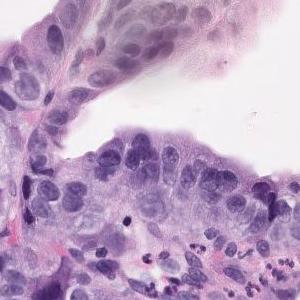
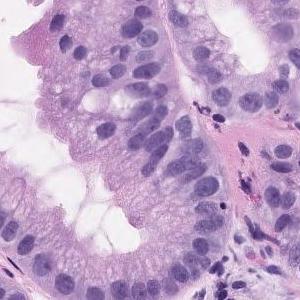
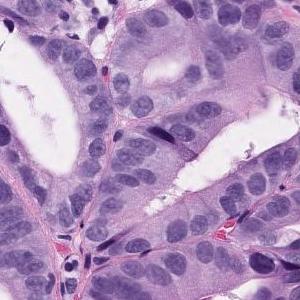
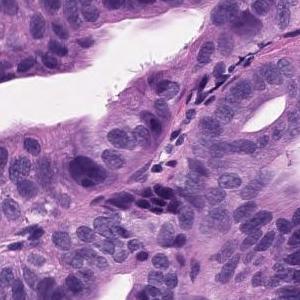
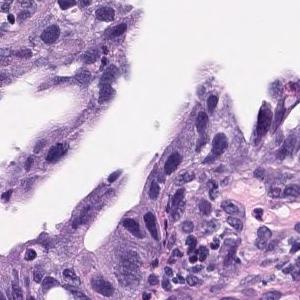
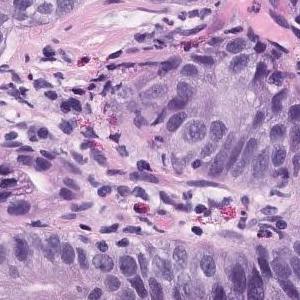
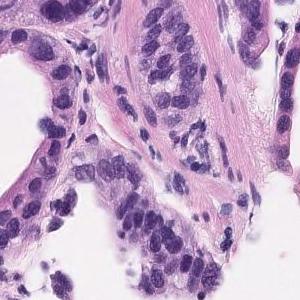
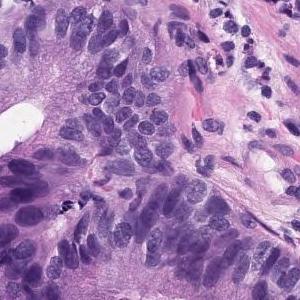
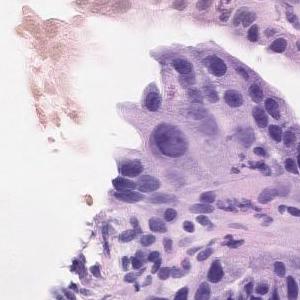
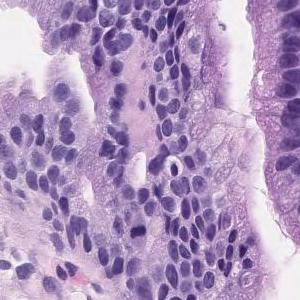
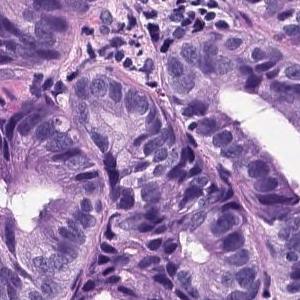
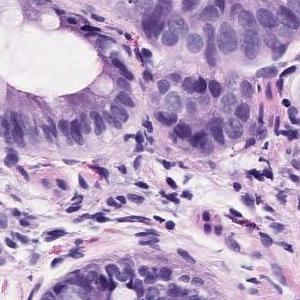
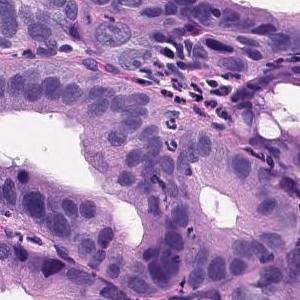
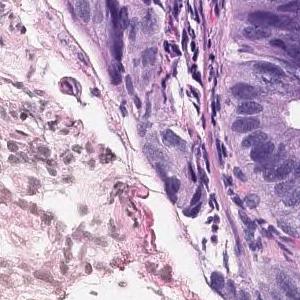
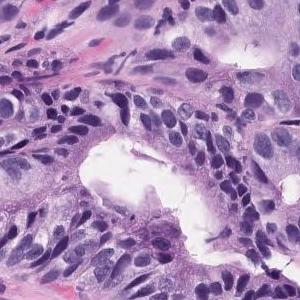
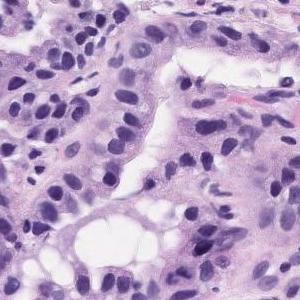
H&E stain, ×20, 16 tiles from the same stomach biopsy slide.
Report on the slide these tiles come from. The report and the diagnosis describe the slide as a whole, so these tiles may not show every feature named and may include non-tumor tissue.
Tumor tissue consisting of medium-sized and irregular ducts is observed infiltrating in the superficial epithelium. Tumor cells are highly columnar, with nuclei aligned basolaterally and polarized. Well differentiated tubular adenocarcinoma.
